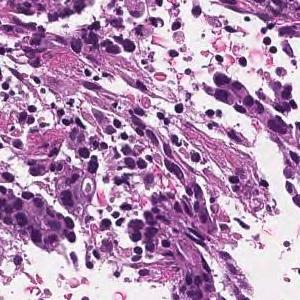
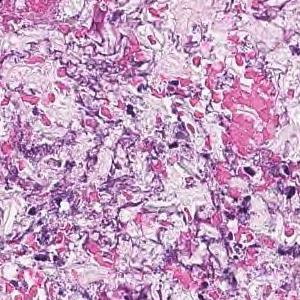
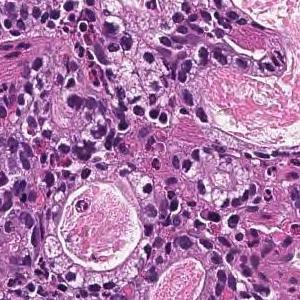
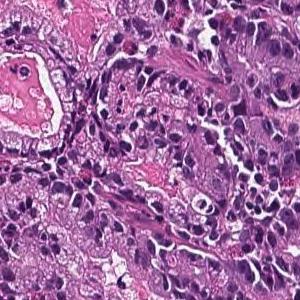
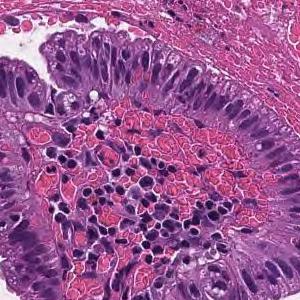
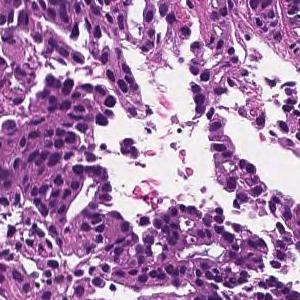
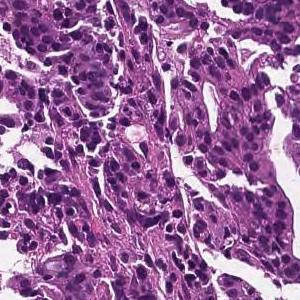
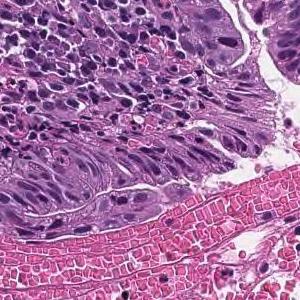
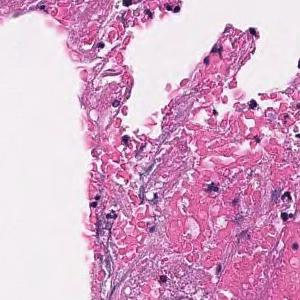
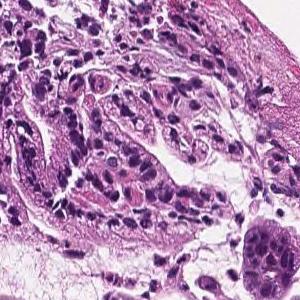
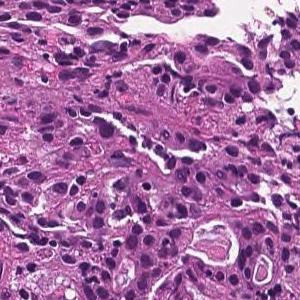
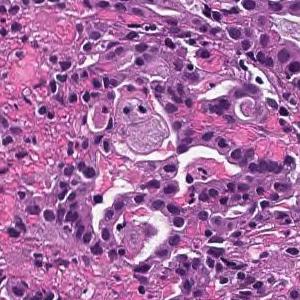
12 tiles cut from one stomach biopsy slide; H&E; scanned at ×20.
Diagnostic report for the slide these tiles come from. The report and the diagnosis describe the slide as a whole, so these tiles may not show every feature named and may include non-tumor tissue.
On the superficial epithelium, tumor tissue that infiltrates by forming medium-sized papillary or small irregular ducts is observed. Papillary adenocarcinoma
